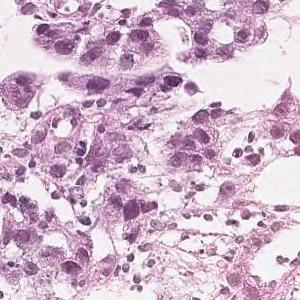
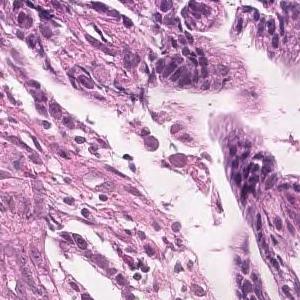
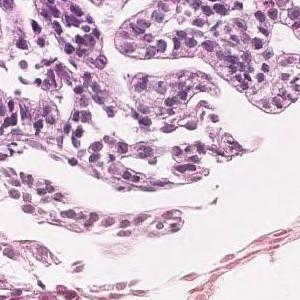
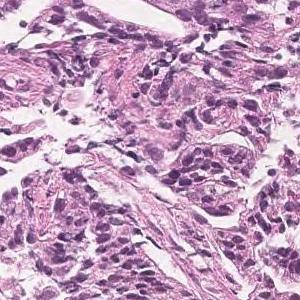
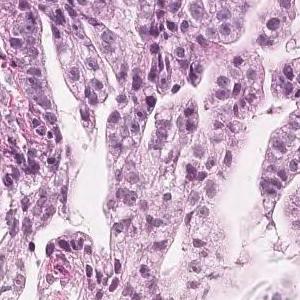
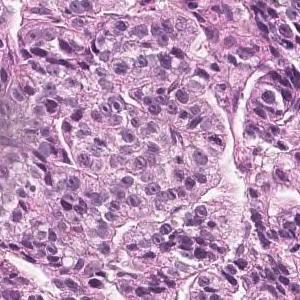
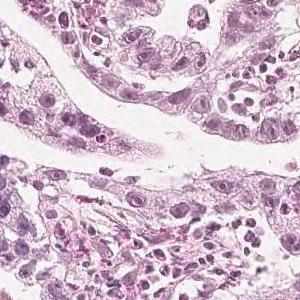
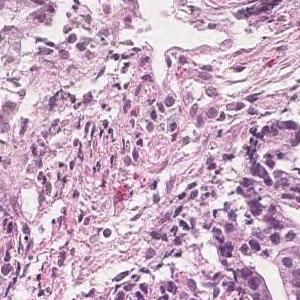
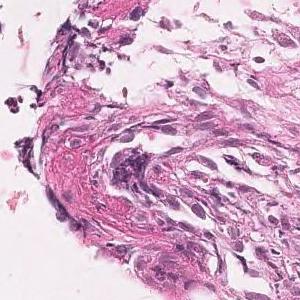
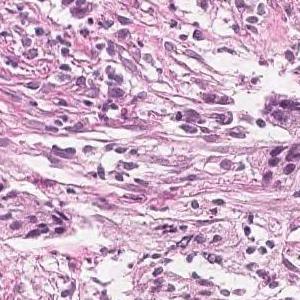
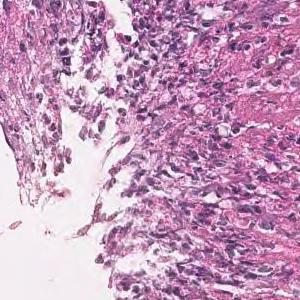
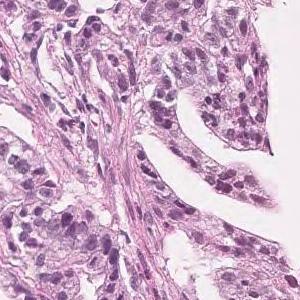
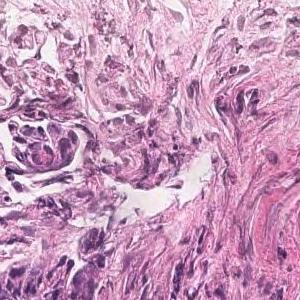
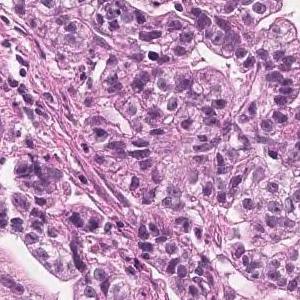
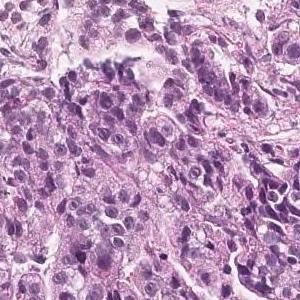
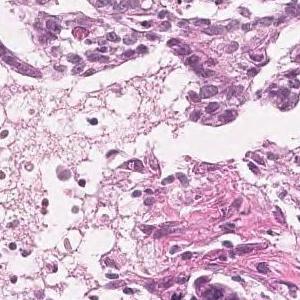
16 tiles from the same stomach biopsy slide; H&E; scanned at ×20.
Pathology report for the slide these tiles were cut from. The report and the diagnosis describe the slide as a whole, so these tiles may not show every feature named and may include non-tumor tissue.
Tumor tissue in which highly columnar atypical epithelial cells with nuclear enlargement and increased nuclear chromatin show papillary to papillary ductal structure and proliferate is observed. Papillary adenocarcinoma.
